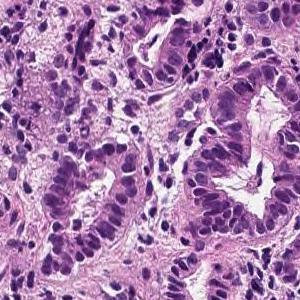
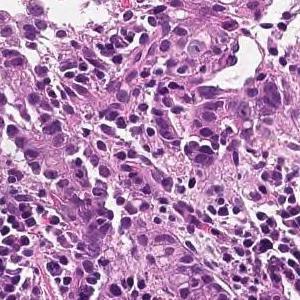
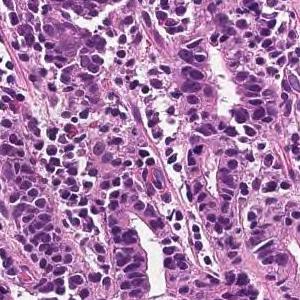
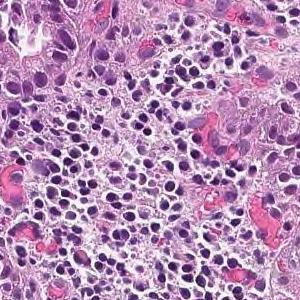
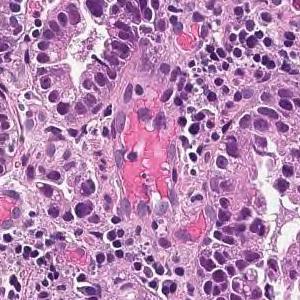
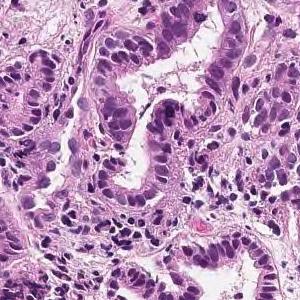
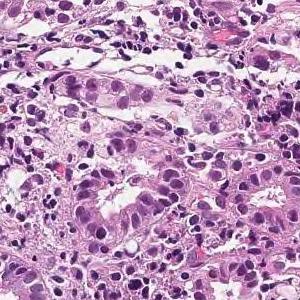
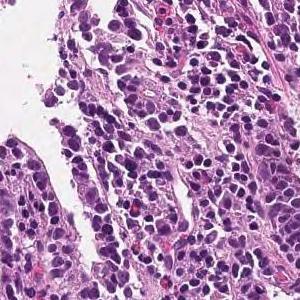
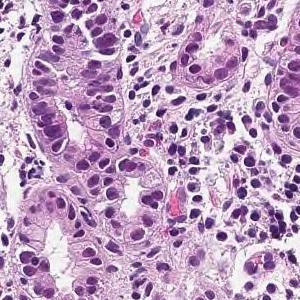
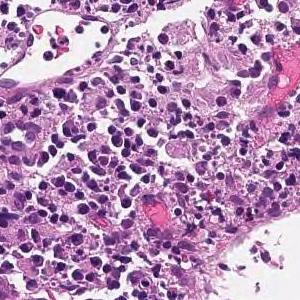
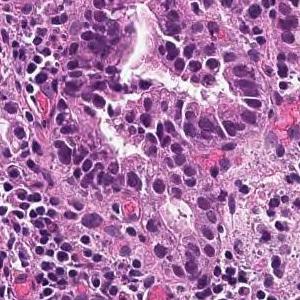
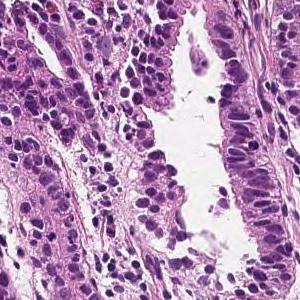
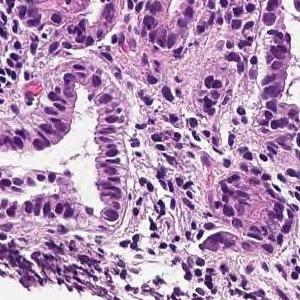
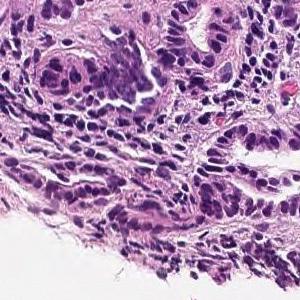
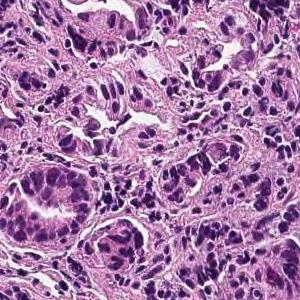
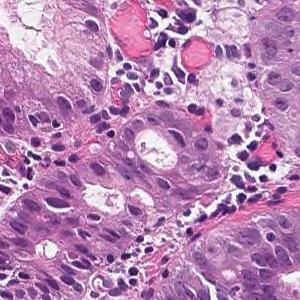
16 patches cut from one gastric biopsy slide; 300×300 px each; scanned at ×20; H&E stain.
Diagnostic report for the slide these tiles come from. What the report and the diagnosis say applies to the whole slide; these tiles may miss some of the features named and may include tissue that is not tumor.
In the superficial epithelium, tumor tissue that invades by forming medium-sized to small, irregular ducts is observed. moderately differentiated tubular adenocarcinoma.
